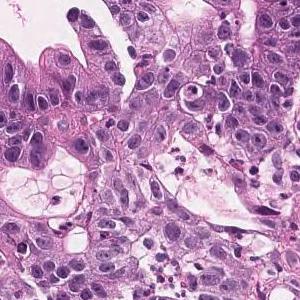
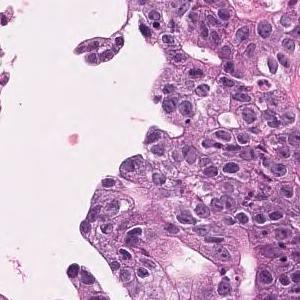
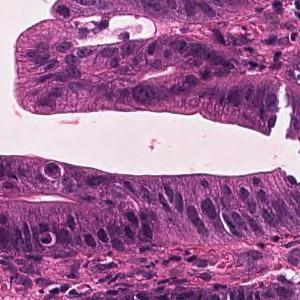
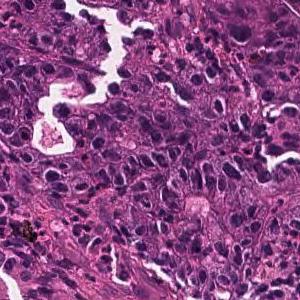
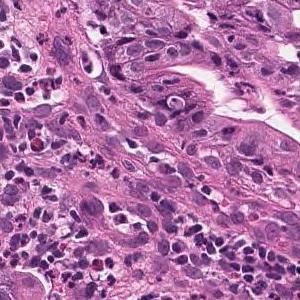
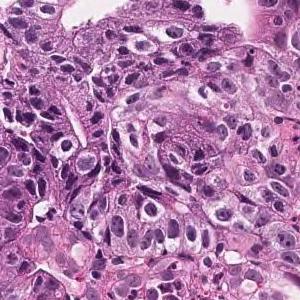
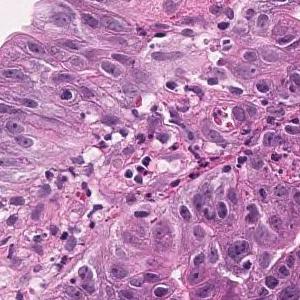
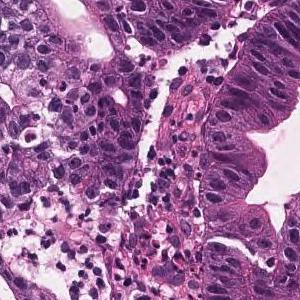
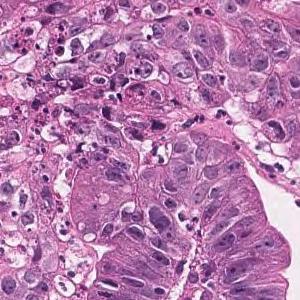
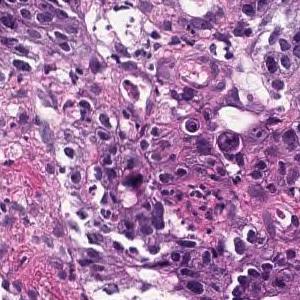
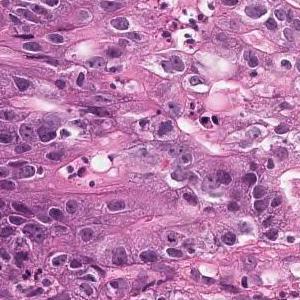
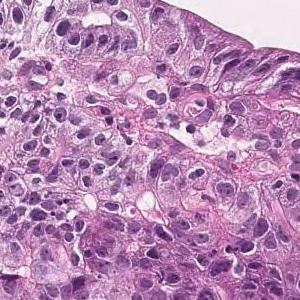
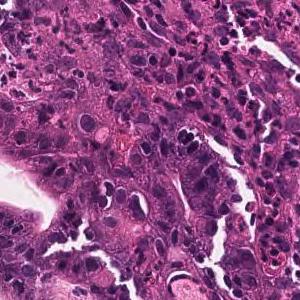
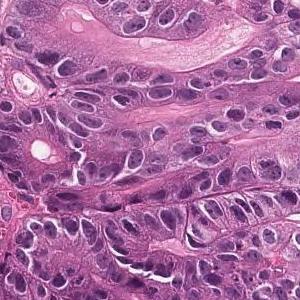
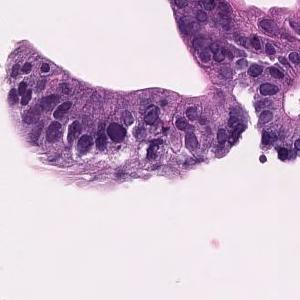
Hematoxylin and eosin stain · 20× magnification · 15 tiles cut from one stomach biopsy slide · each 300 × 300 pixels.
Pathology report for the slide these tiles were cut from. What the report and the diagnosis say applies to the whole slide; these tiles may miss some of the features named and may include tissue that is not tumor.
In the superficial epithelium, tumor tissue that invades by forming medium-sized to small, irregular ducts is observed. Well differentiated tubular adenocarcinoma.
